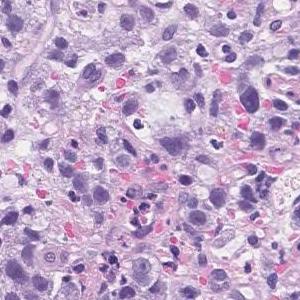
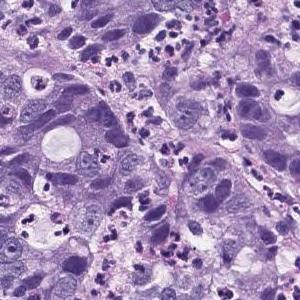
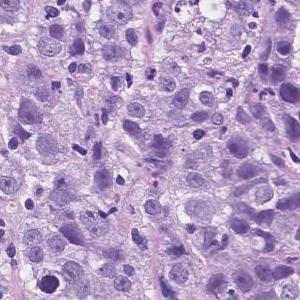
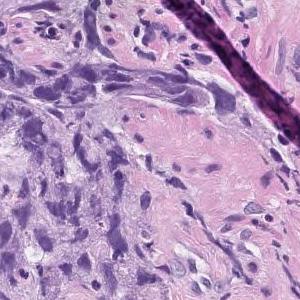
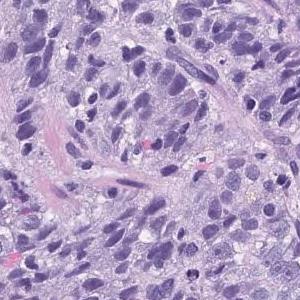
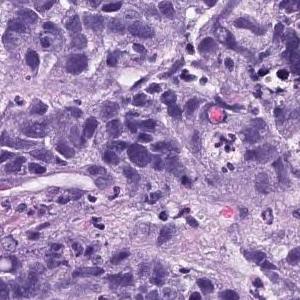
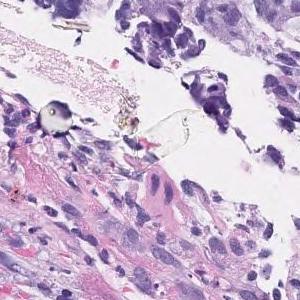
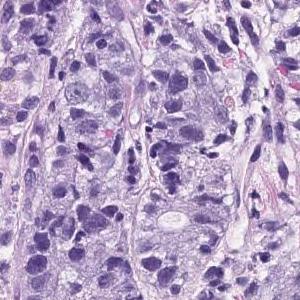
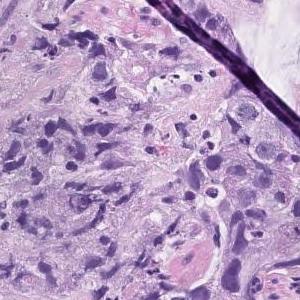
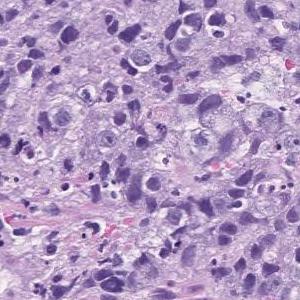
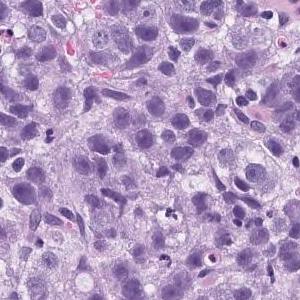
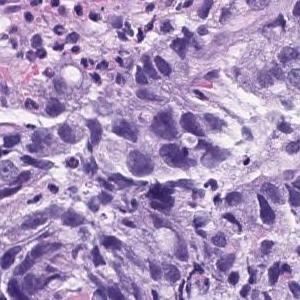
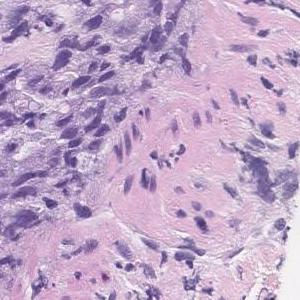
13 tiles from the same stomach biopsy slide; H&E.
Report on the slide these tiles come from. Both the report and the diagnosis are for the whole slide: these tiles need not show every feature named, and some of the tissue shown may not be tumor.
Atypical l cells with atypical nuclei forming solid vesicles or small irregular atypical ducts that proliferate in a complex manner. poorly differentiated adenocarcinoma, solid type, moderately differentiated tubular adenocarcinoma
The term "solid type" comes from the Japanese Classification of Gastric Carcinoma; the WHO 2019 equivalent is tubular adenocarcinoma, poorly differentiated.
